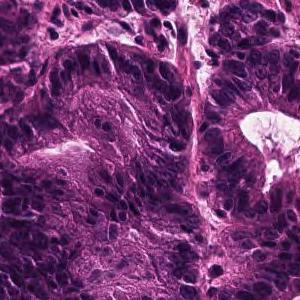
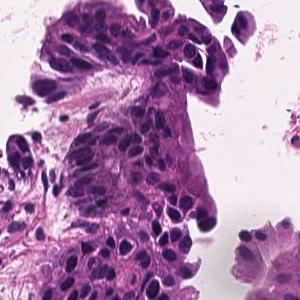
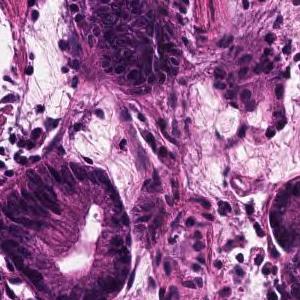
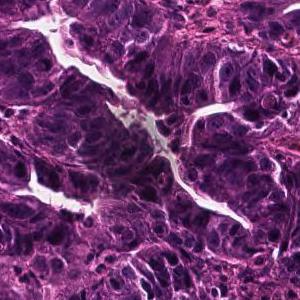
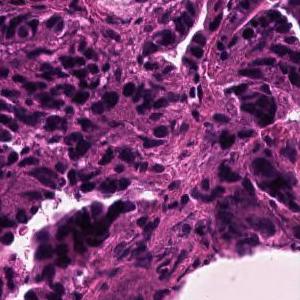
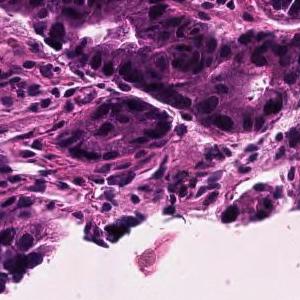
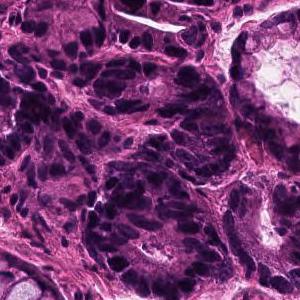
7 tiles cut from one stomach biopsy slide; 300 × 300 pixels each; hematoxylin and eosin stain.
Report on the slide these tiles come from. The report and the diagnosis describe the slide as a whole, so these tiles may not show every feature named and may include non-tumor tissue.
In the superficial epithelium, tumor tissue that invades by forming medium-sized to small, irregular ducts is observed. Well differentiated tubular adenocarcinoma.
